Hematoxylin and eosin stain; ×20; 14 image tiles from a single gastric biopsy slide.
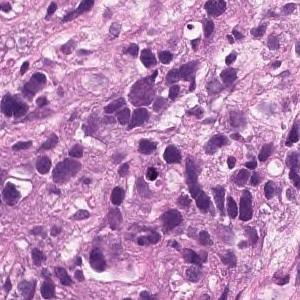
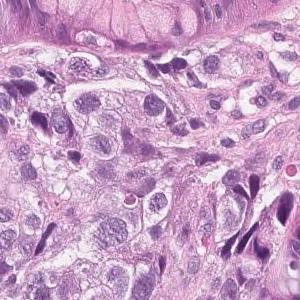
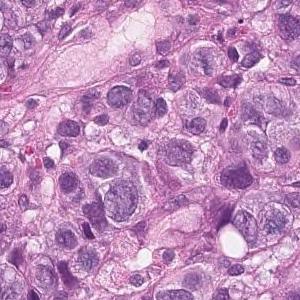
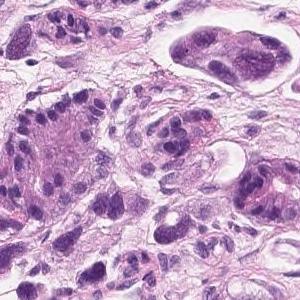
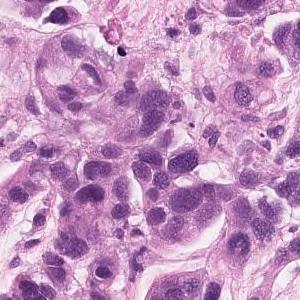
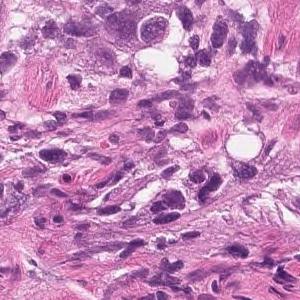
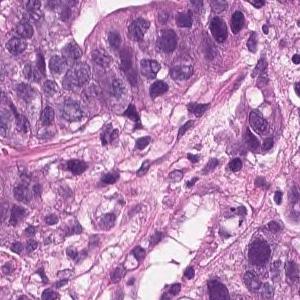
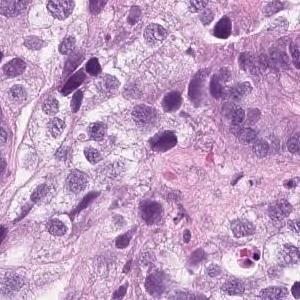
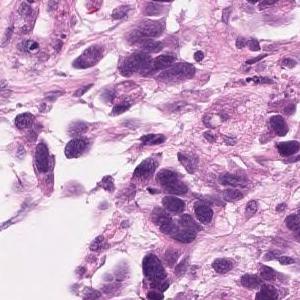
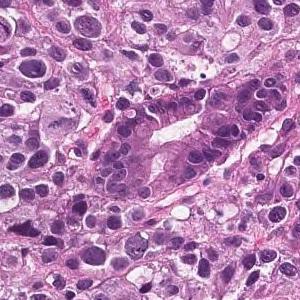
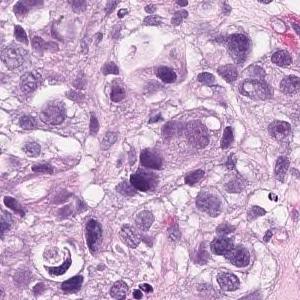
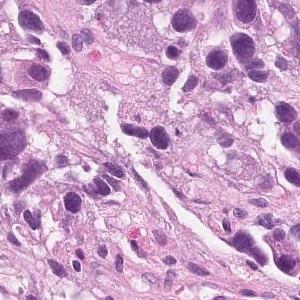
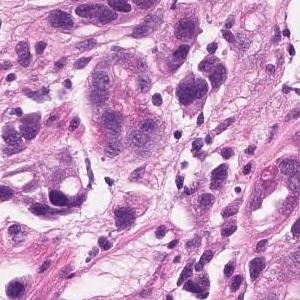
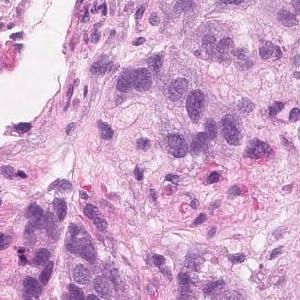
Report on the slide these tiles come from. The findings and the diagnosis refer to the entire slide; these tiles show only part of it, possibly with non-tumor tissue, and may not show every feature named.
Tumor tissue that infiltrates the epithelium in an alveolar manner. Poorly differentiated adenocarcinoma, solid-type
Histologic type: Poorly differentiated adenocarcinoma, solid type (Japanese Classification of Gastric Carcinoma). The WHO 2019 equivalent is tubular adenocarcinoma, poorly differentiated.
